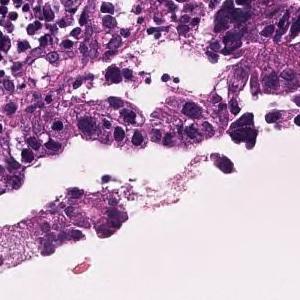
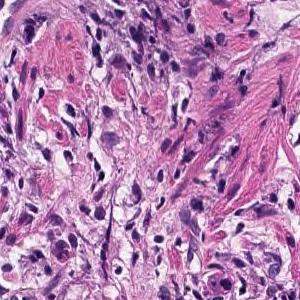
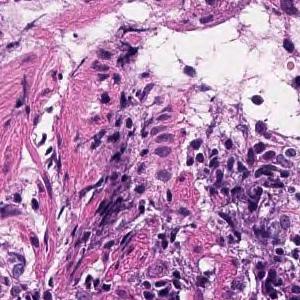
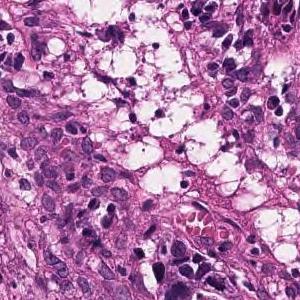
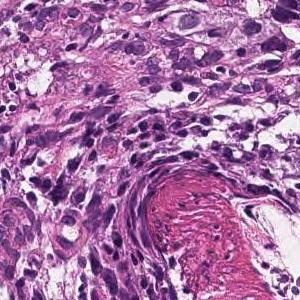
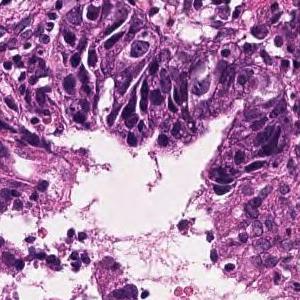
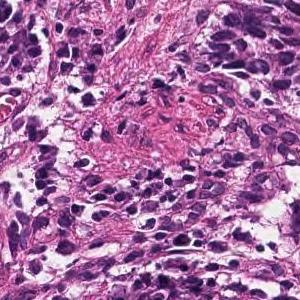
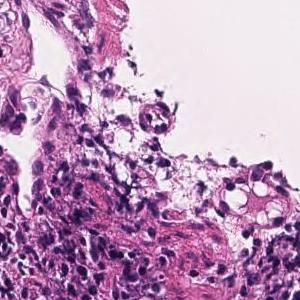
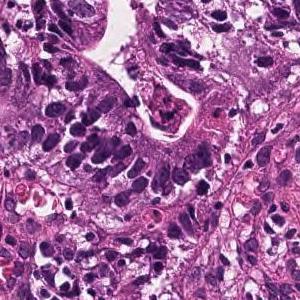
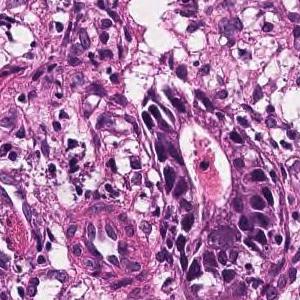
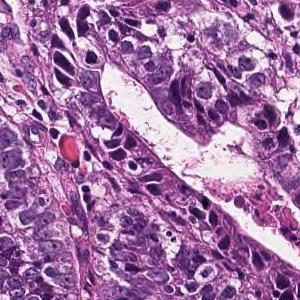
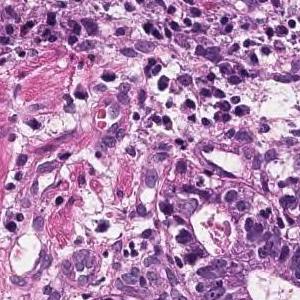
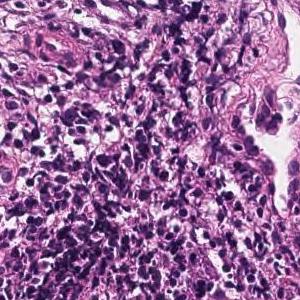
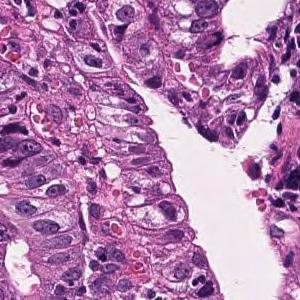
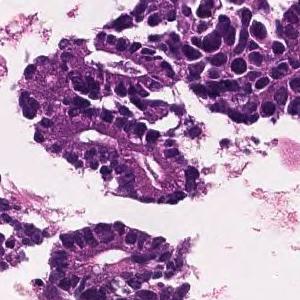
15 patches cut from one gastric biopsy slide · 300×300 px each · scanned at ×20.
Pathology report for the biopsy slide these tiles were cut from. The report describes the whole slide, diagnosis included: not every finding it names need appear in these tiles, which may also show non-tumor tissue.
From the superficial epithelium to the muscularis mucosae, tumor tissue infiltrating by forming medium-sized irregular gland ducts is observed. Large tumor cells exhibit large nucleus and hyperchromatism. Well differentiated tubular adenocarcinoma
